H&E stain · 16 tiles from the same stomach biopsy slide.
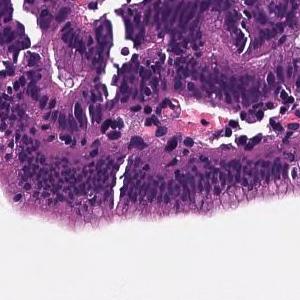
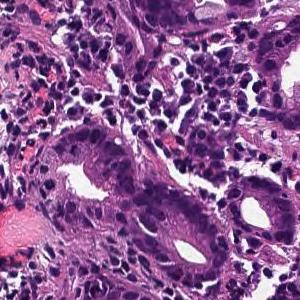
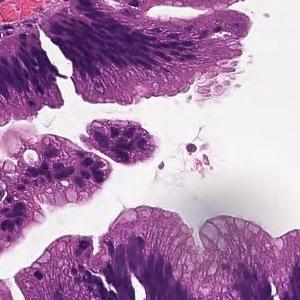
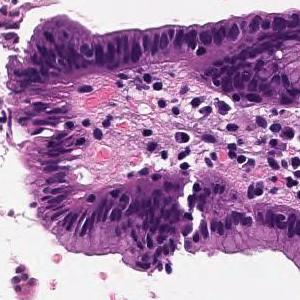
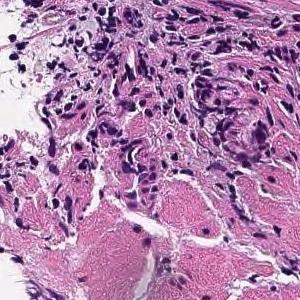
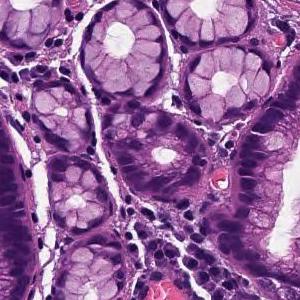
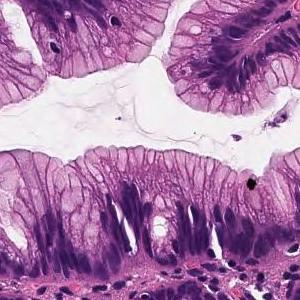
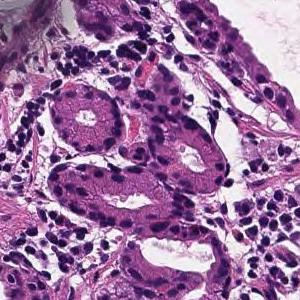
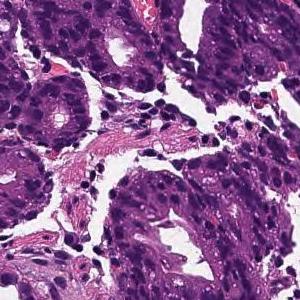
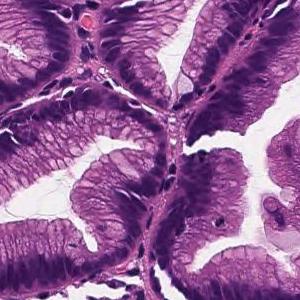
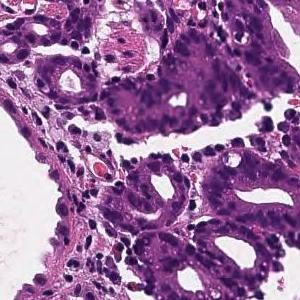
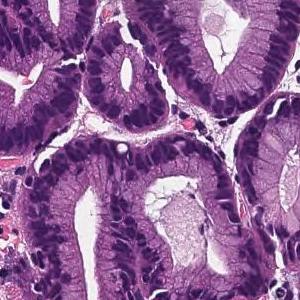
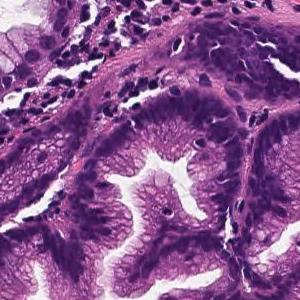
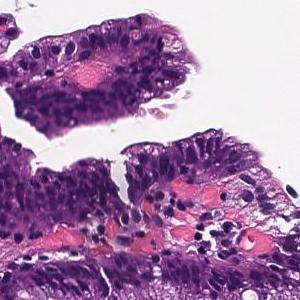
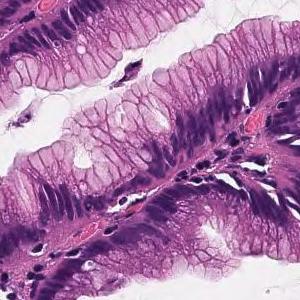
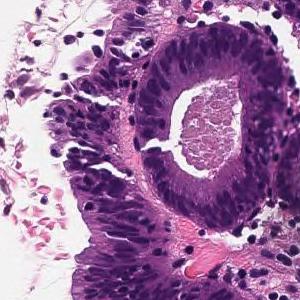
Pathology report for the slide these tiles were cut from. The report and the diagnosis cover the entire slide, so not every feature they name need be visible here, and some tissue shown may not be tumor.
Cells with elliptical or atypical nuclei form dense ducts with relatively clear growth. Well differentiated tubular adenocarcinoma
